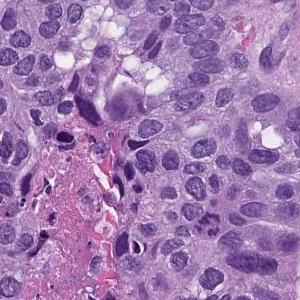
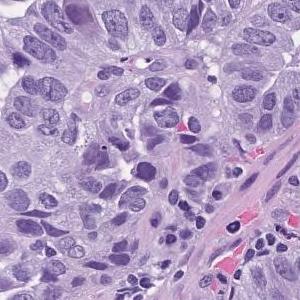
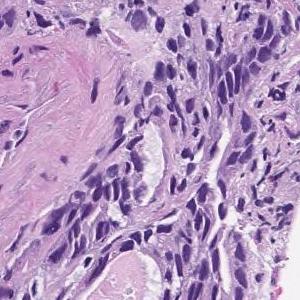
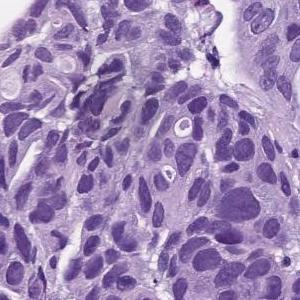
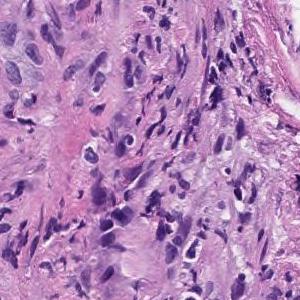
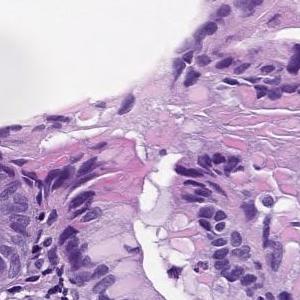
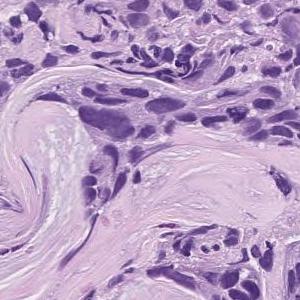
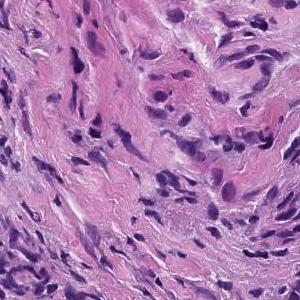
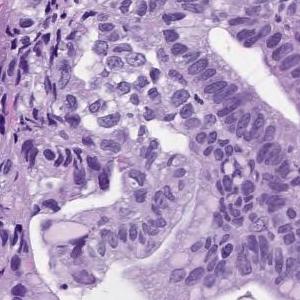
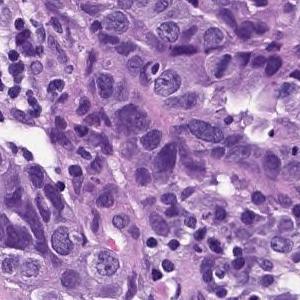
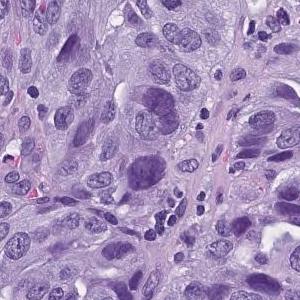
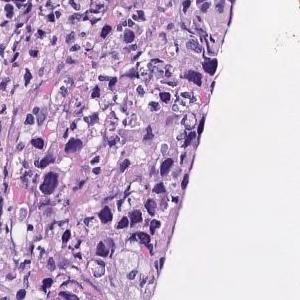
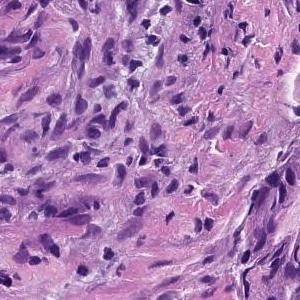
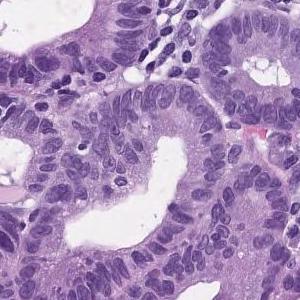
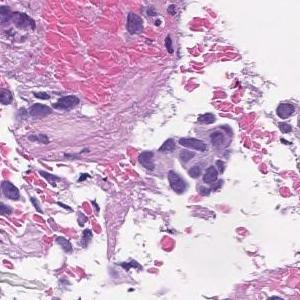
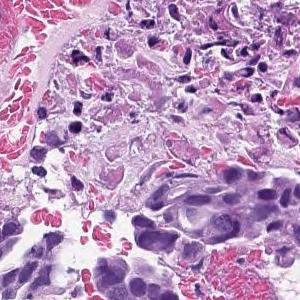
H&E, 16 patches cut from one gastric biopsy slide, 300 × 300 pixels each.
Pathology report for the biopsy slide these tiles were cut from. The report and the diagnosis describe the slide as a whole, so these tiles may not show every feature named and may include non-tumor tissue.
In the superficial epithelium, tumor tissue that invades by forming medium-sized to small, irregular ducts is observed. moderately differentiated tubular adenocarcinoma.
